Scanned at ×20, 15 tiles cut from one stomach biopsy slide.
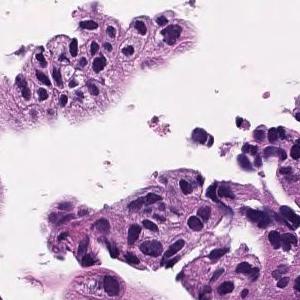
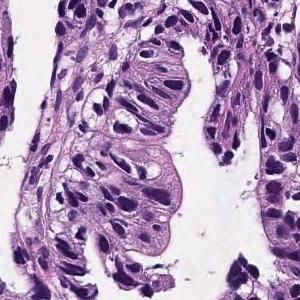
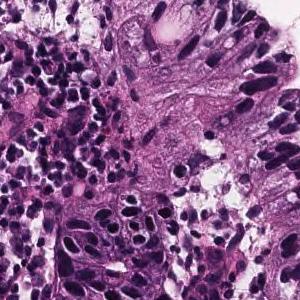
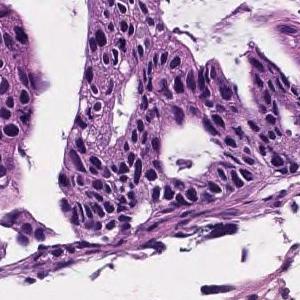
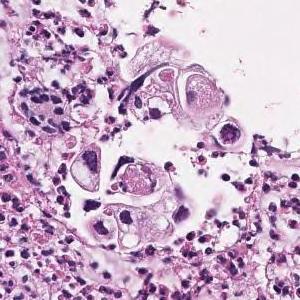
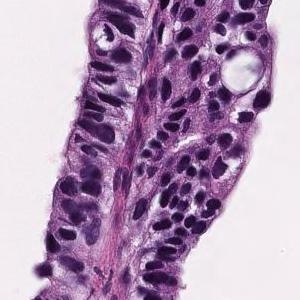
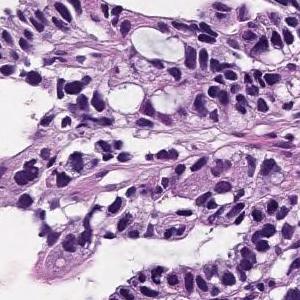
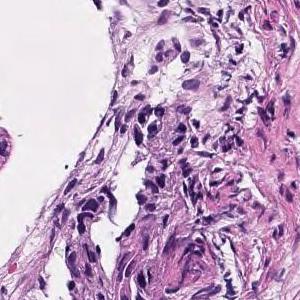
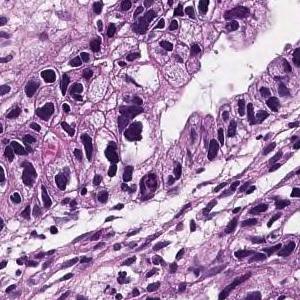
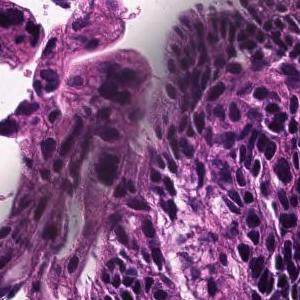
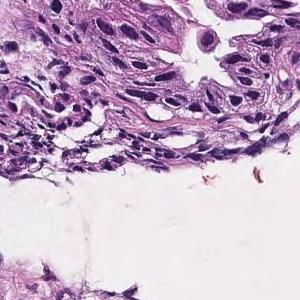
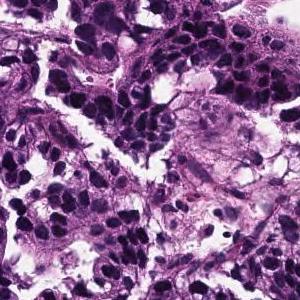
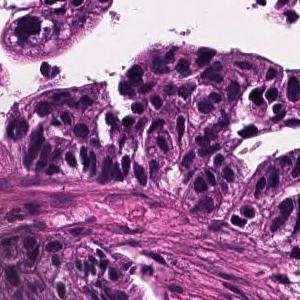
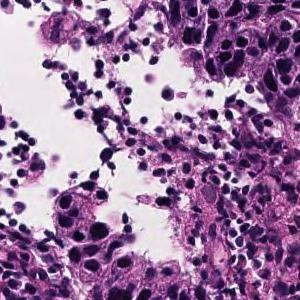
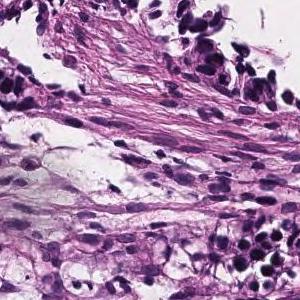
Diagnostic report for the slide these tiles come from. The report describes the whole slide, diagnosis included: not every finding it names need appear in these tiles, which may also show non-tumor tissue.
Tumor cells are large, highly columnar, large club-shaped nuclei, and are associated with chromatin aggregation. Papillary adenocarcinoma.
